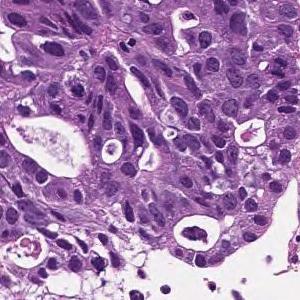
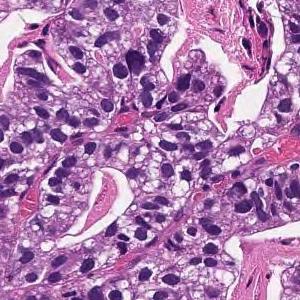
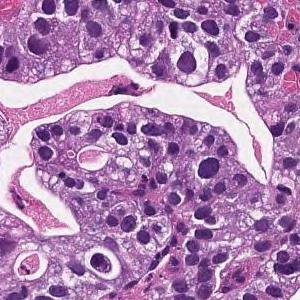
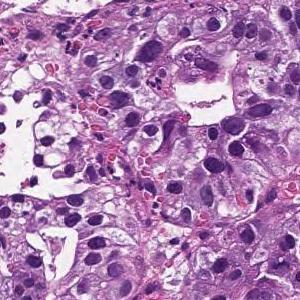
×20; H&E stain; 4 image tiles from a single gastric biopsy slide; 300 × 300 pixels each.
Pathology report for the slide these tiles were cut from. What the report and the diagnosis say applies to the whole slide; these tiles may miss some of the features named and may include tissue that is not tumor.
On the superficial epithelium, tumor tissue consisting of large, irregular glandular ducts partially fused and infiltrated is observed. Well to moderately differentiated tubular adenocarcinoma (well differentiated tubular adenocarcinoma, moderately differentiated tubular adenocarcinoma)
Histological subtype: Well to moderately differentiated tubular adenocarcinoma.
